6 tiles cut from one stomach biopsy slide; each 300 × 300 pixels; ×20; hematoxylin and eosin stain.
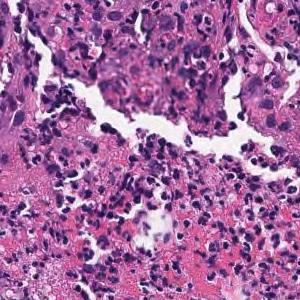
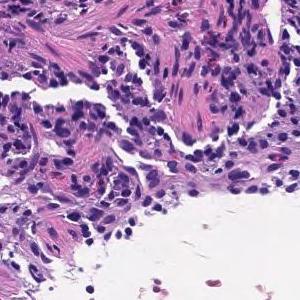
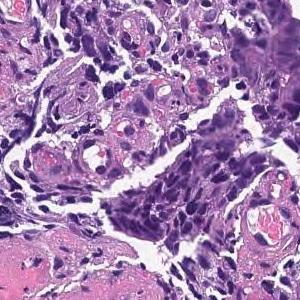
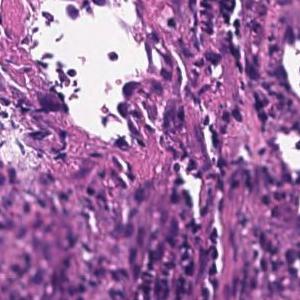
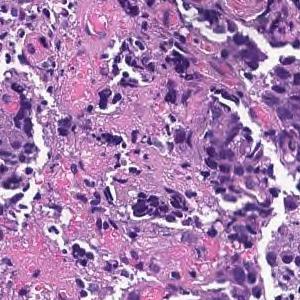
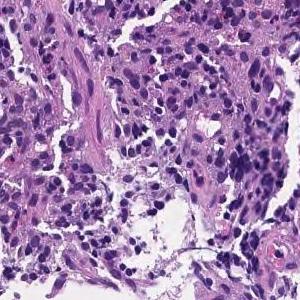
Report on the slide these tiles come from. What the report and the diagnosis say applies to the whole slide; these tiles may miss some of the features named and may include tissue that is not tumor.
On the superficial epithelium, tumor tissue consisting of large irregular glandular ducts partially fused and infiltrated is observed. Well to moderately differentiated tubular adenocarcinoma (well differentiated tubular adenocarcinoma, moderately differentiated tubular adenocarcinoma)
Histologic type: Well to moderately differentiated tubular adenocarcinoma.
